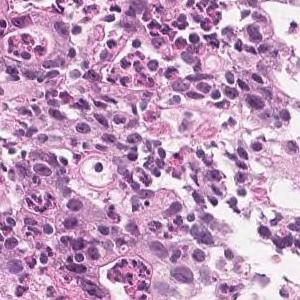
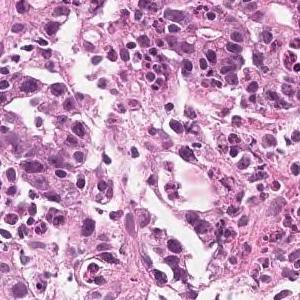
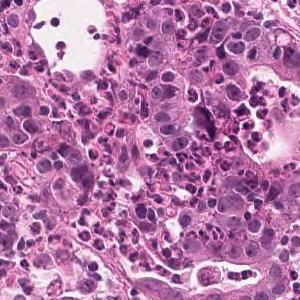
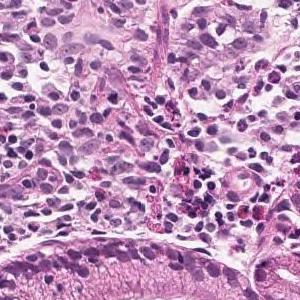
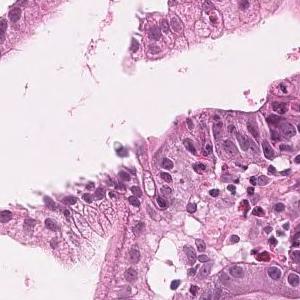
5 tiles cut from one stomach biopsy slide · H&E · scanned at ×20.
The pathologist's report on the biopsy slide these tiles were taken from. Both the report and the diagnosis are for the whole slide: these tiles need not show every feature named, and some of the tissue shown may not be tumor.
On the superficial epithelium, tumor tissue consisting of large, irregular glandular ducts partially fused and infiltrated is observed. Well to moderately differentiated tubular adenocarcinoma (well differentiated tubular adenocarcinoma, moderately differentiated tubular adenocarcinoma)
Histologic type: Well to moderately differentiated tubular adenocarcinoma.
